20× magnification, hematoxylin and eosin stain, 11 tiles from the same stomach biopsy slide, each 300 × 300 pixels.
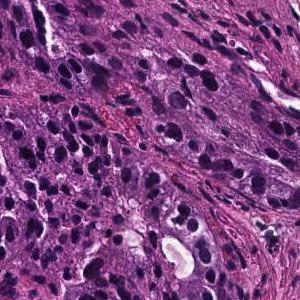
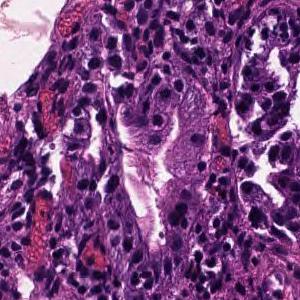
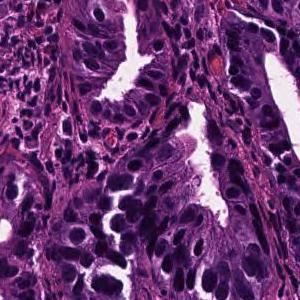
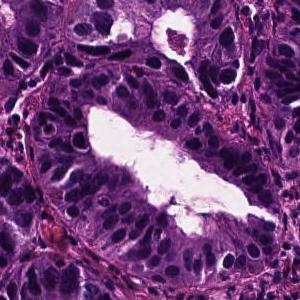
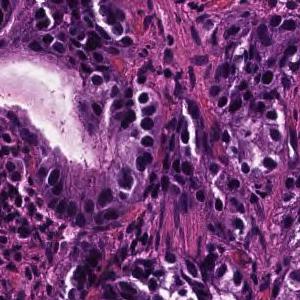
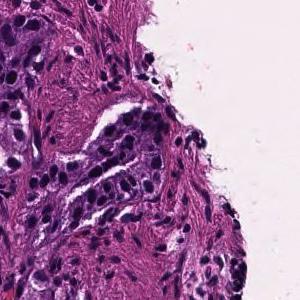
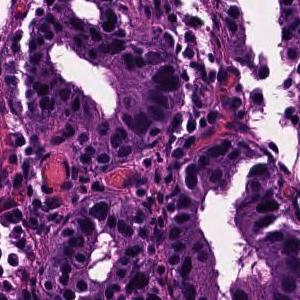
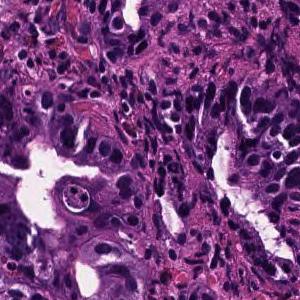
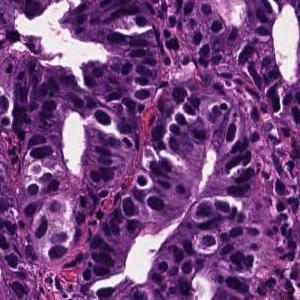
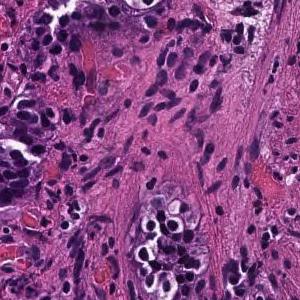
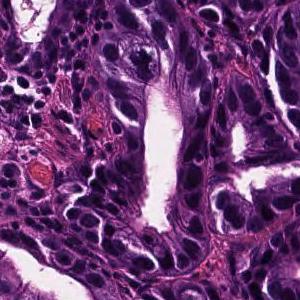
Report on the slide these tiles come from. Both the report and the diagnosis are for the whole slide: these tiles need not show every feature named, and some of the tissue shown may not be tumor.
Tumor tissue that grows invasively while the short atypical epithelium forms irregular ducts is observed. Well differentiated tubular adenocarcinoma
